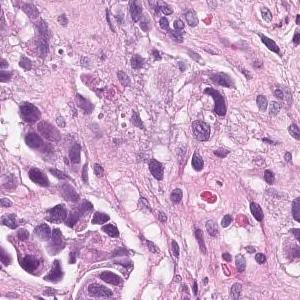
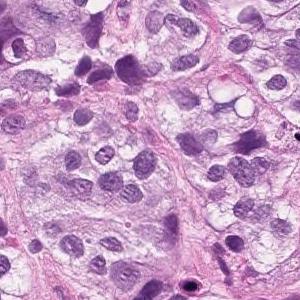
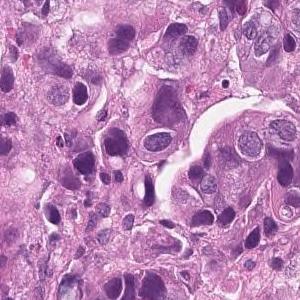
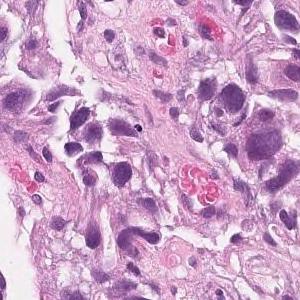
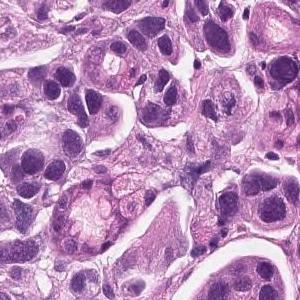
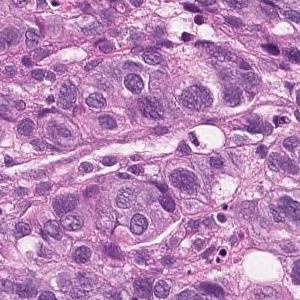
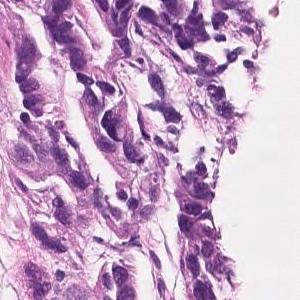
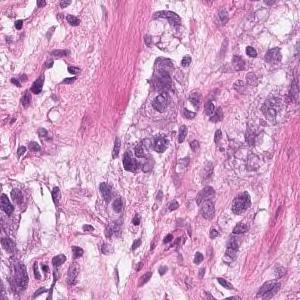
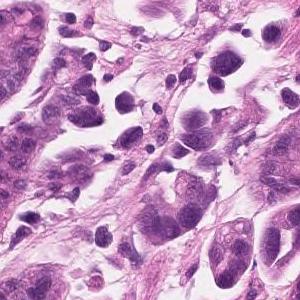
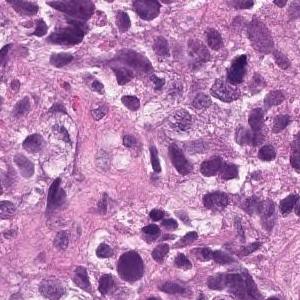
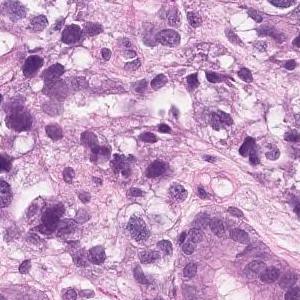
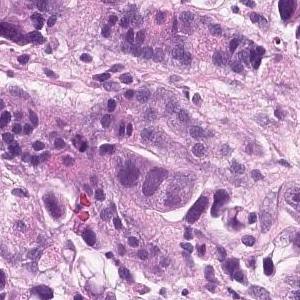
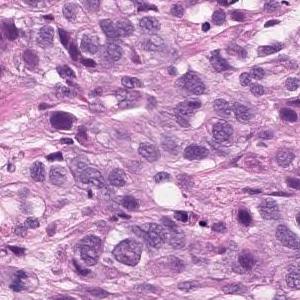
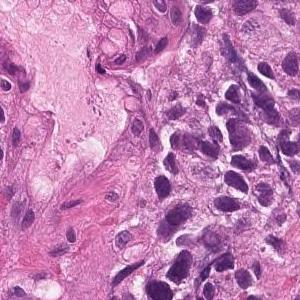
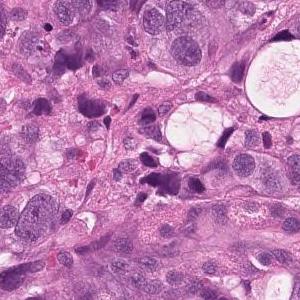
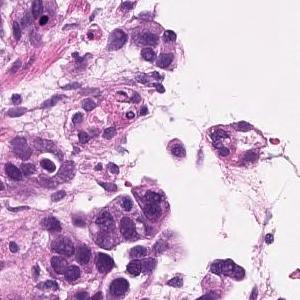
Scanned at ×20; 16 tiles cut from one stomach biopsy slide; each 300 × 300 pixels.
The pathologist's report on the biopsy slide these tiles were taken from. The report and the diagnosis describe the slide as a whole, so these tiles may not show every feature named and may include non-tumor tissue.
Tumor tissue that infiltrates the epithelium in an alveolar manner. Poorly differentiated adenocarcinoma, solid-type
Histologic type: Poorly differentiated adenocarcinoma, solid type. This name comes from the Japanese Classification of Gastric Carcinoma; the WHO 2019 classification calls it tubular adenocarcinoma, poorly differentiated.
